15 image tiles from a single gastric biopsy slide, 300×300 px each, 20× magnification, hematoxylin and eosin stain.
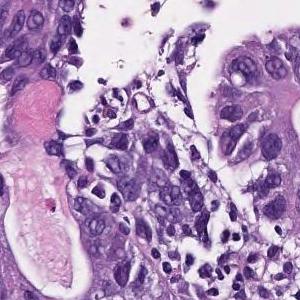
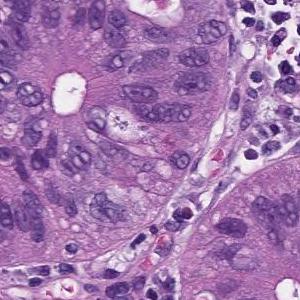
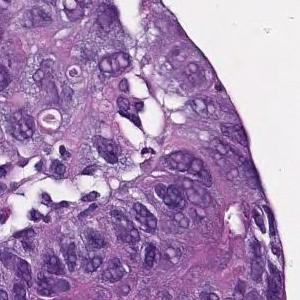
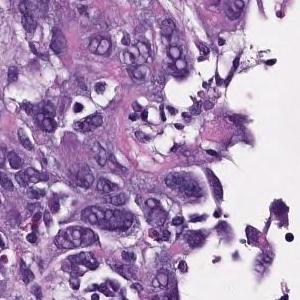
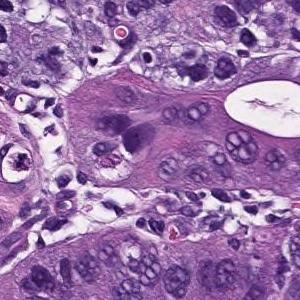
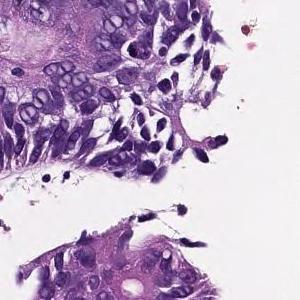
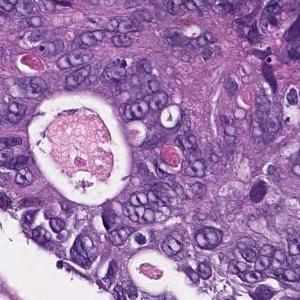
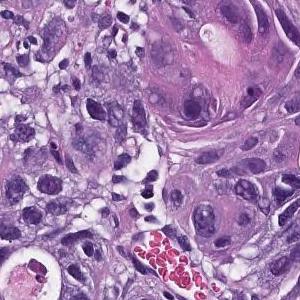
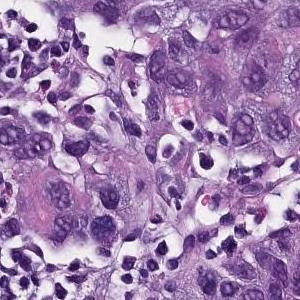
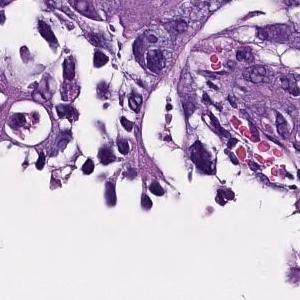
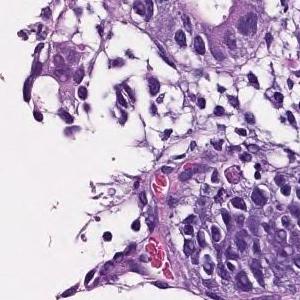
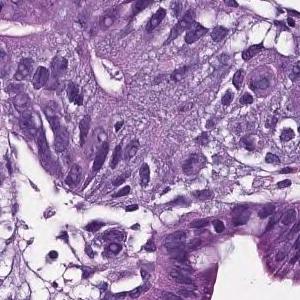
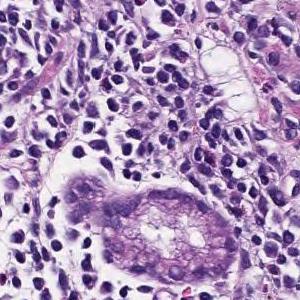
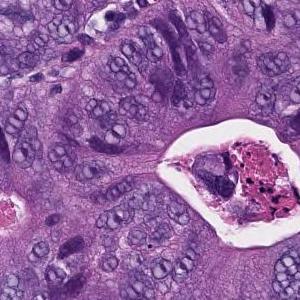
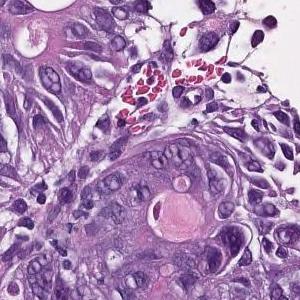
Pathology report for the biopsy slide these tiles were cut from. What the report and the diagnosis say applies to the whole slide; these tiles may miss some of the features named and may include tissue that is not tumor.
In the superficial epithelium, tumor tissue that invades by forming medium-sized to small, irregular ducts is observed. moderately differentiated tubular adenocarcinoma.
